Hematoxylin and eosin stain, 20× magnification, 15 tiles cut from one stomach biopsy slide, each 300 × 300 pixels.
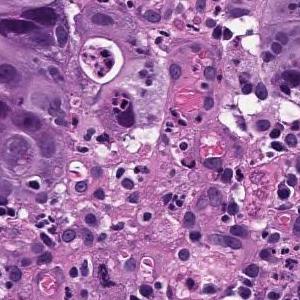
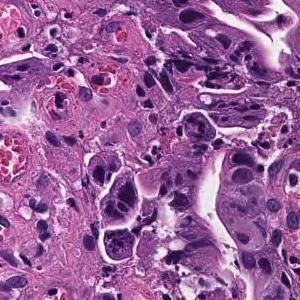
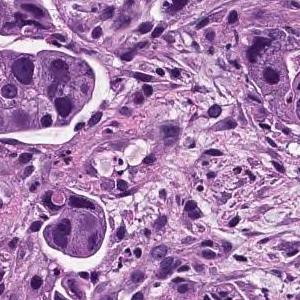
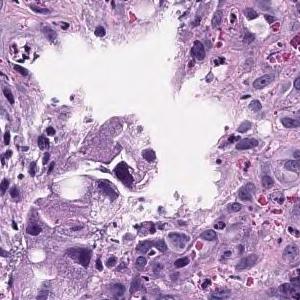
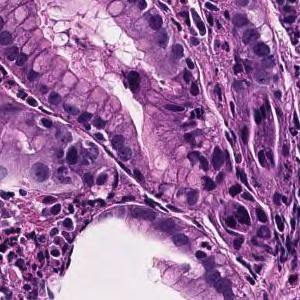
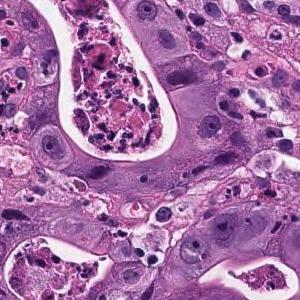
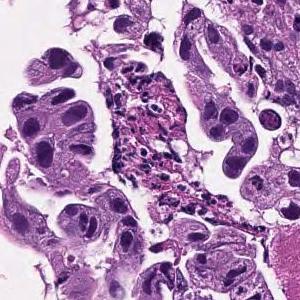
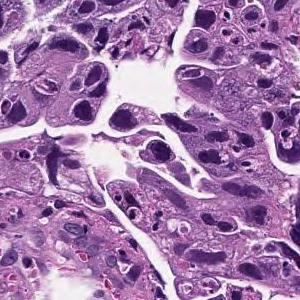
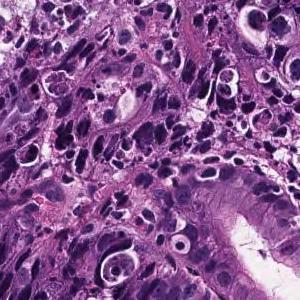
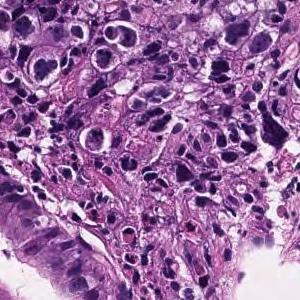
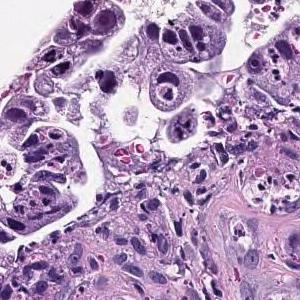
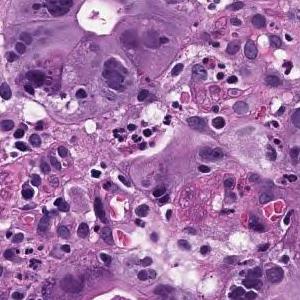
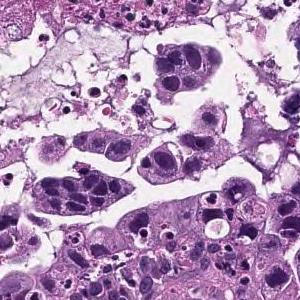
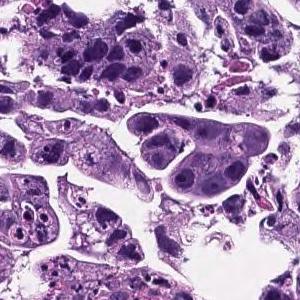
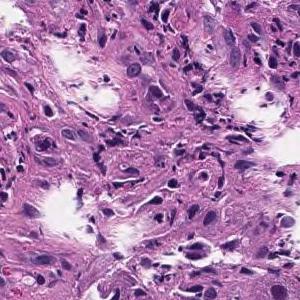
Pathology report for the biopsy slide these tiles were cut from. The findings and the diagnosis refer to the entire slide; these tiles show only part of it, possibly with non-tumor tissue, and may not show every feature named.
In the superficial epithelium, medium to small irregular gland ducts are formed, and in some cases, the ducts are fused to show solid alveolar lesions and infiltrating tumor tissue is observed. Moderately to poorly differentiated adenocarcinoma
